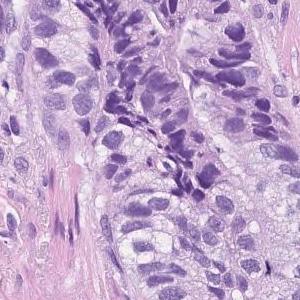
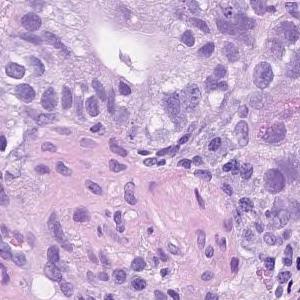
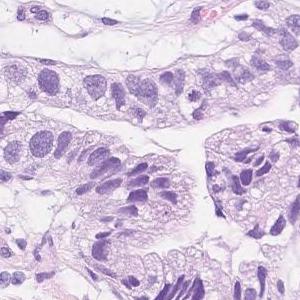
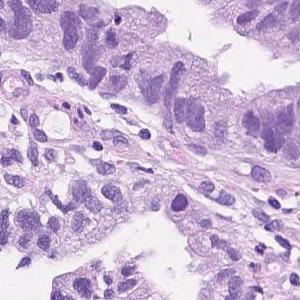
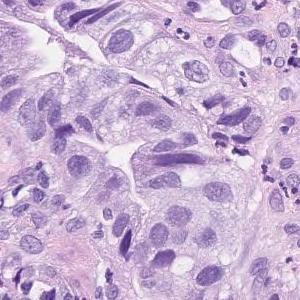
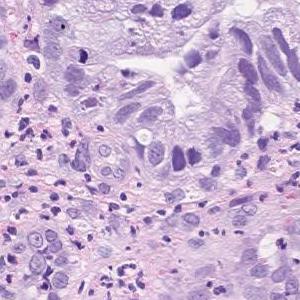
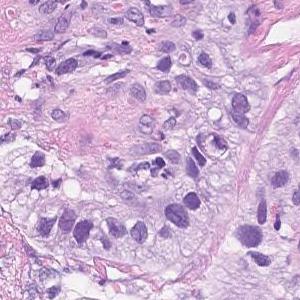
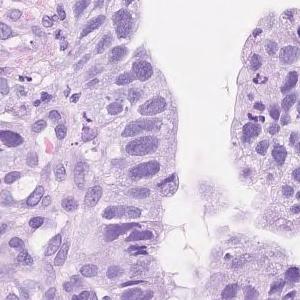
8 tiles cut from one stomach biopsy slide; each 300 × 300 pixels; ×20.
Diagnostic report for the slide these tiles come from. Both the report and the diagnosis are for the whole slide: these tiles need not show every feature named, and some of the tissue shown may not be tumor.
Atypical l cells with atypical nuclei forming solid or diffuse vesicles or small irregular atypical ducts and growing in a complex manner. moderately differentiated tubular adenocarcinoma
